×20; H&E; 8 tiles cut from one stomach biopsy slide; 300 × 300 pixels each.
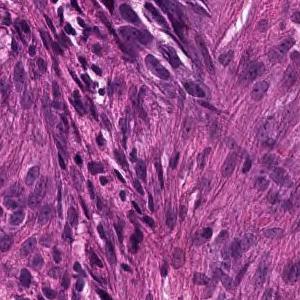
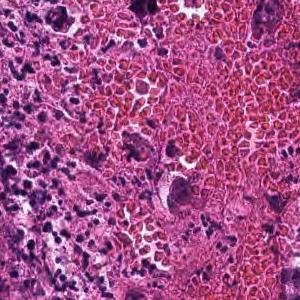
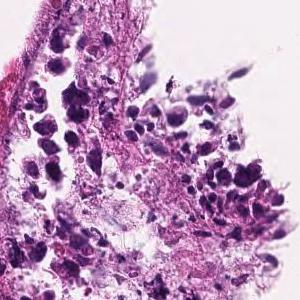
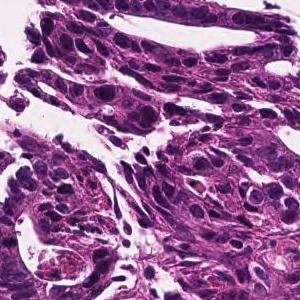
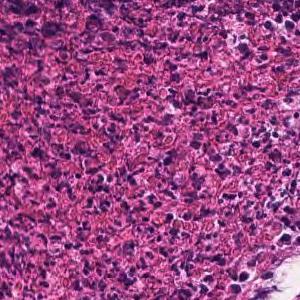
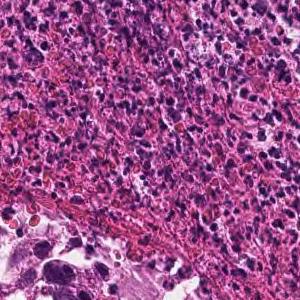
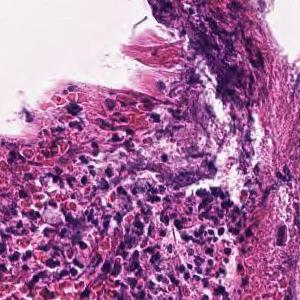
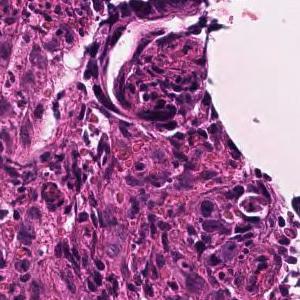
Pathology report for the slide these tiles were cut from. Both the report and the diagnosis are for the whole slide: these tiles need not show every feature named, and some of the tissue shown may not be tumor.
In the superficial epithelium, tumor tissue that invades by forming medium-sized to small, irregular ducts is observed. moderately differentiated tubular adenocarcinoma.
